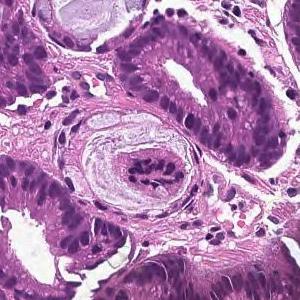
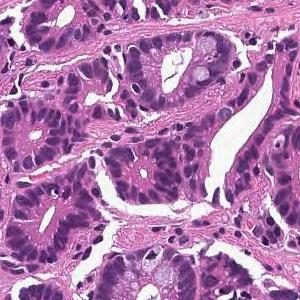
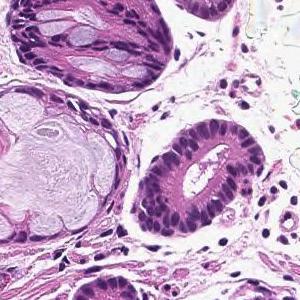
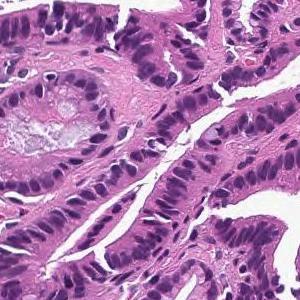
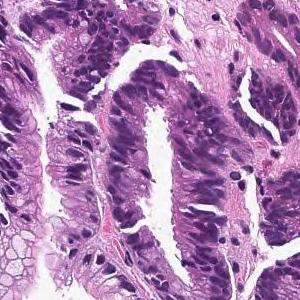
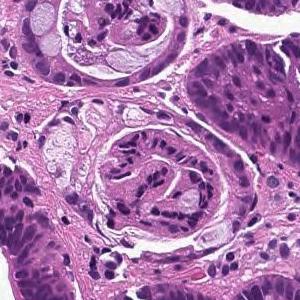
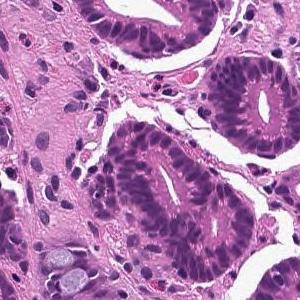
7 tiles from the same stomach biopsy slide; 300 × 300 pixels each; H&E; ×20.
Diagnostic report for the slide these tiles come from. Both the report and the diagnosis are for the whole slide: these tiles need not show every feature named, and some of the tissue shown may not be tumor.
From the superficial epithelium to the muscularis mucosae, tumor tissue consisting of medium-sized and irregular glandular ducts infiltrating is observed. Well differentiated tubular adenocarcinoma
